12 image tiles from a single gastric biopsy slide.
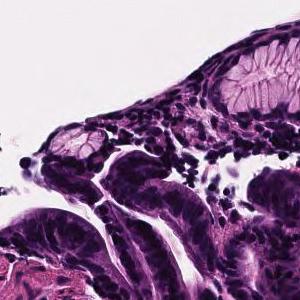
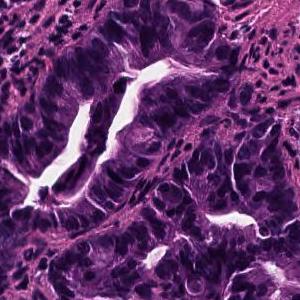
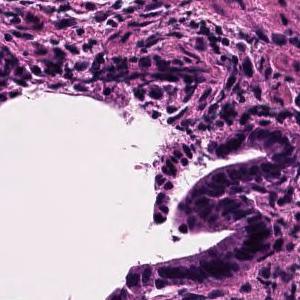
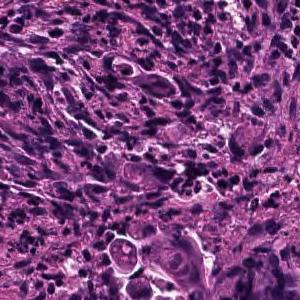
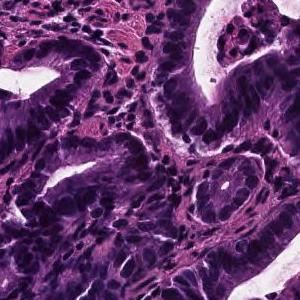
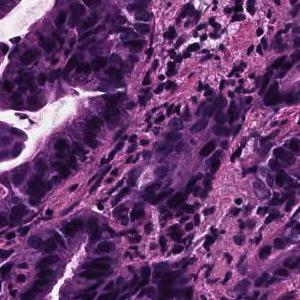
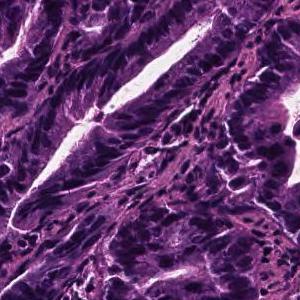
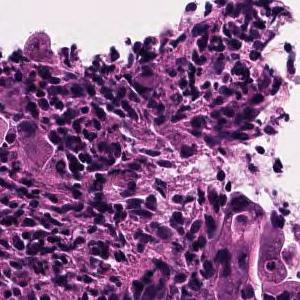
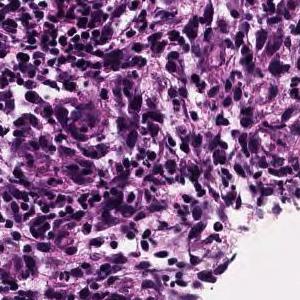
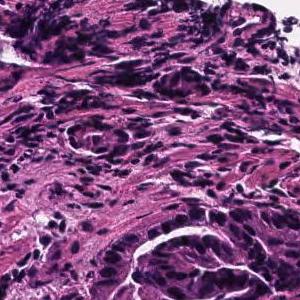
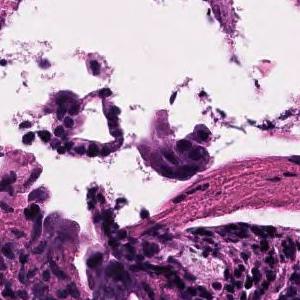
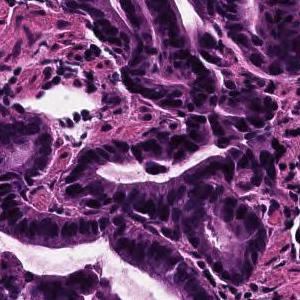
Diagnostic report for the slide these tiles come from. The report describes the whole slide, diagnosis included: not every finding it names need appear in these tiles, which may also show non-tumor tissue.
On the superficial epithelium, tumor tissue consisting of large, irregular glandular ducts partially fused and infiltrated is observed. Well to moderately differentiated tubular adenocarcinoma (well differentiated tubular adenocarcinoma, moderately differentiated tubular adenocarcinoma)
Histological subtype: Well to moderately differentiated tubular adenocarcinoma.
